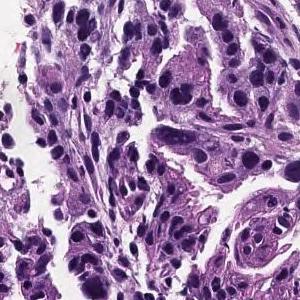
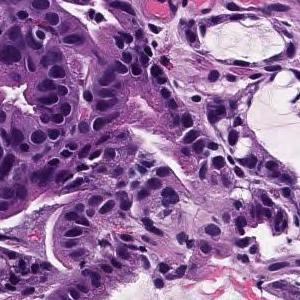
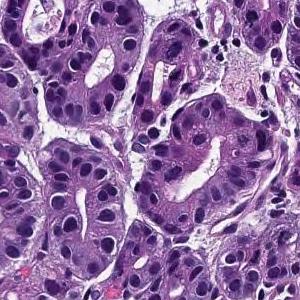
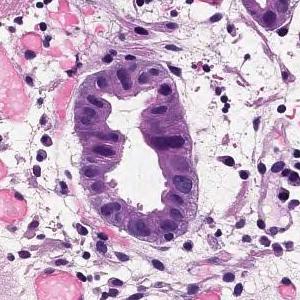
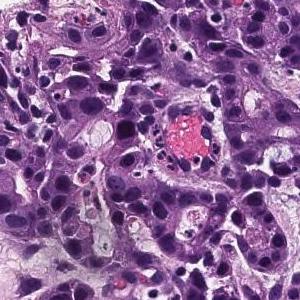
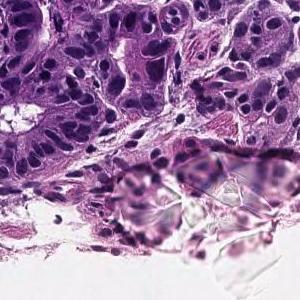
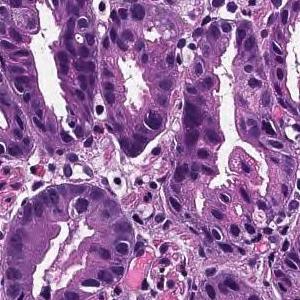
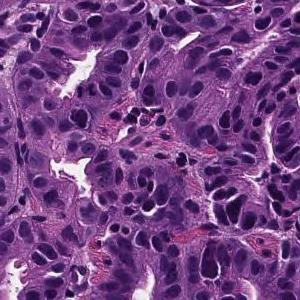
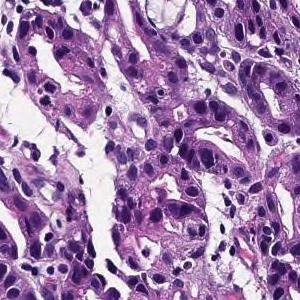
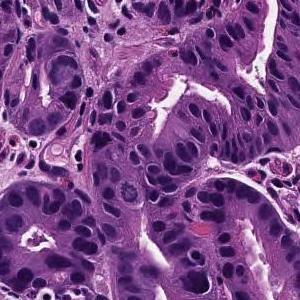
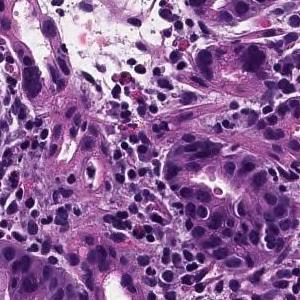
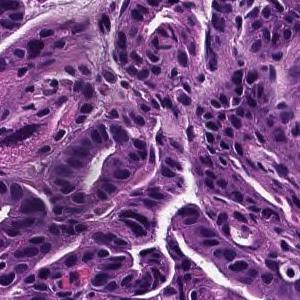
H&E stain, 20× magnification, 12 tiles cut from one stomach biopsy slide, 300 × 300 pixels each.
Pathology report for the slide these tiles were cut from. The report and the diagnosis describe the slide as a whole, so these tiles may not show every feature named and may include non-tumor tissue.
From the superficial epithelium to the muscularis mucosae, tumor tissue consisting of medium-sized and irregular glandular ducts infiltrating is observed. Well differentiated tubular adenocarcinoma
